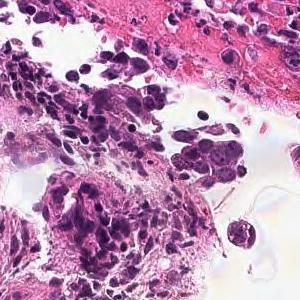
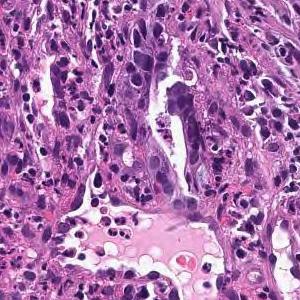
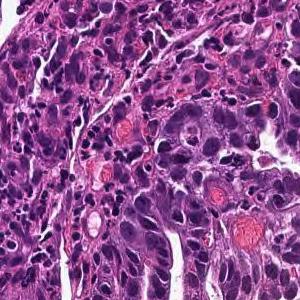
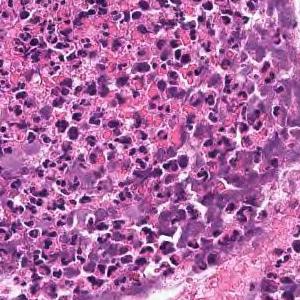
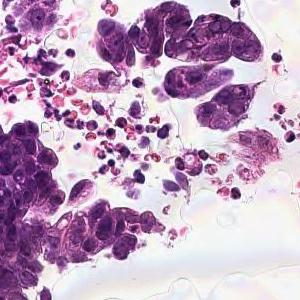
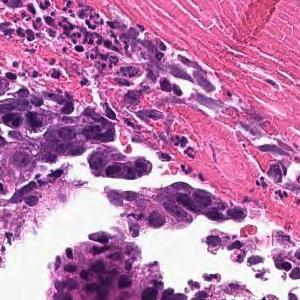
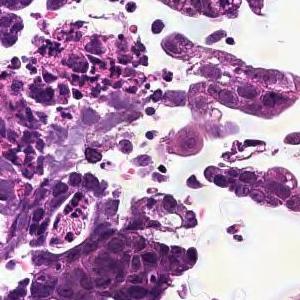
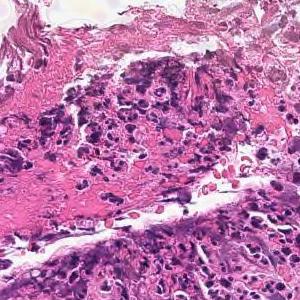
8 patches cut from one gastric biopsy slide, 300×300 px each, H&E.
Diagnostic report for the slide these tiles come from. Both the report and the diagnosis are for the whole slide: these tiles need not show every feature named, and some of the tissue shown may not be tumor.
In the superficial epithelium, tumor tissue that invades by forming medium-sized to small, irregular ducts is observed. moderately differentiated tubular adenocarcinoma.
